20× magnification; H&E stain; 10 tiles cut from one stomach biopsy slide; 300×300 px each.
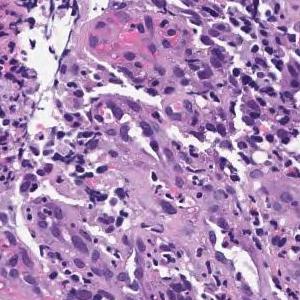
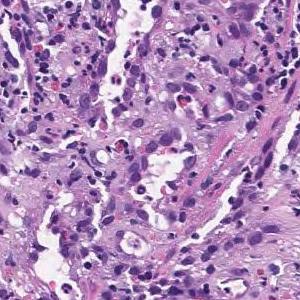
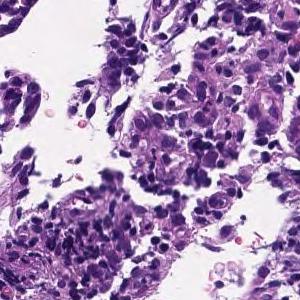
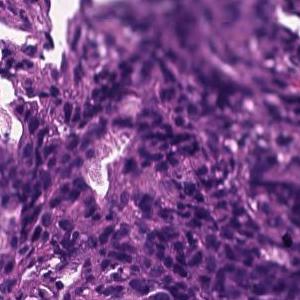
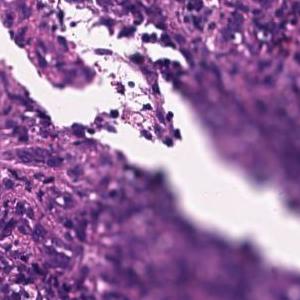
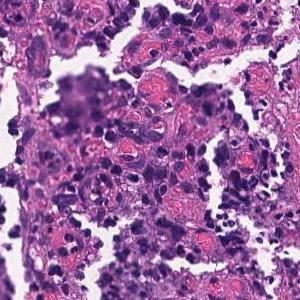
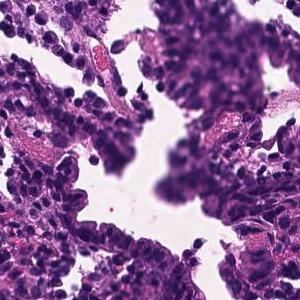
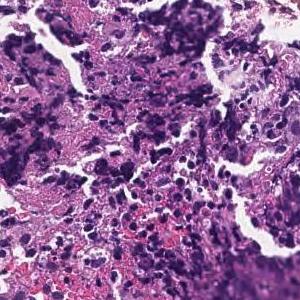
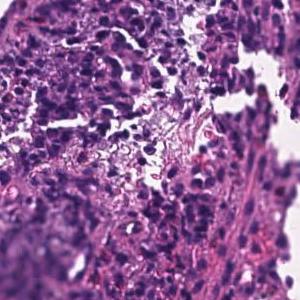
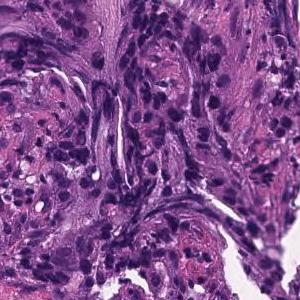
The pathologist's report on the biopsy slide these tiles were taken from. The findings and the diagnosis refer to the entire slide; these tiles show only part of it, possibly with non-tumor tissue, and may not show every feature named.
On the superficial epithelium, tumor tissue consisting of large irregular glandular ducts partially fused and infiltrated is observed. Well to moderately differentiated tubular adenocarcinoma (well differentiated tubular adenocarcinoma, moderately differentiated tubular adenocarcinoma)
Histologic type: Well to moderately differentiated tubular adenocarcinoma.
